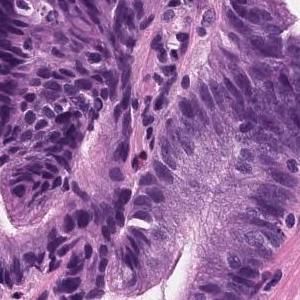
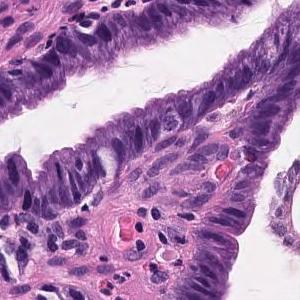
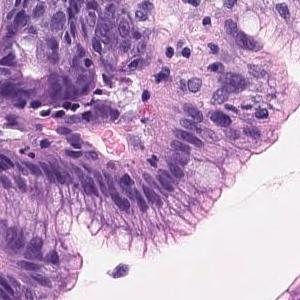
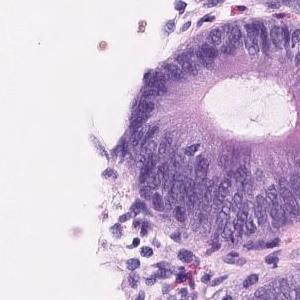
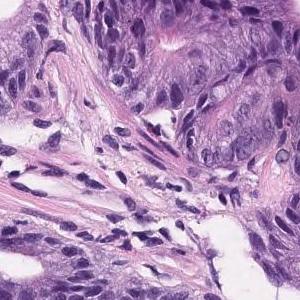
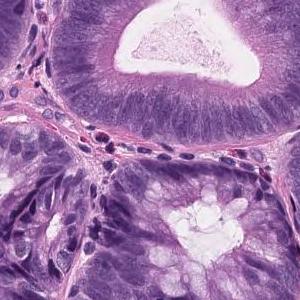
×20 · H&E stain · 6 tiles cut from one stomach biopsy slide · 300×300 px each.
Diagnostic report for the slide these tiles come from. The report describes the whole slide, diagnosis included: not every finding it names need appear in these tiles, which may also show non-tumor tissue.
On the superficial epithelium, tumor tissue with densely growing medium to large, round tubules is observed. Tumor cells are highly columnar, with nuclei aligned basolaterally and polarized. Well differentiated tubular adenocarcinoma
